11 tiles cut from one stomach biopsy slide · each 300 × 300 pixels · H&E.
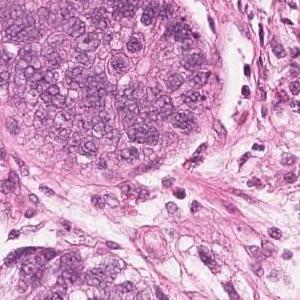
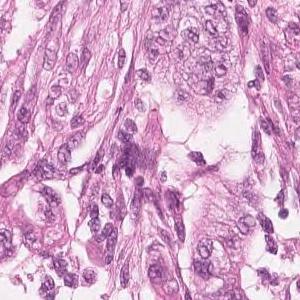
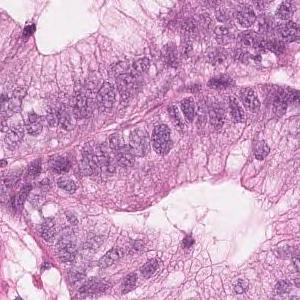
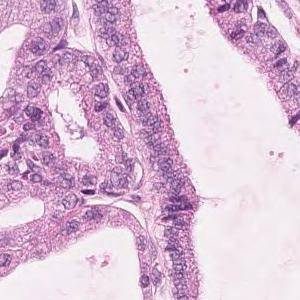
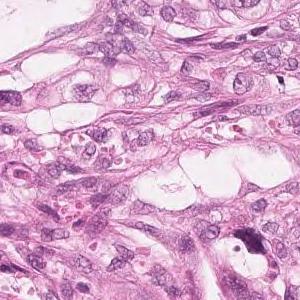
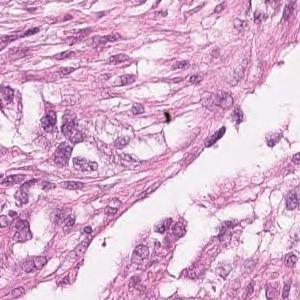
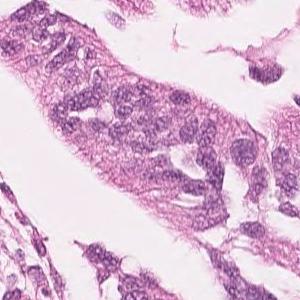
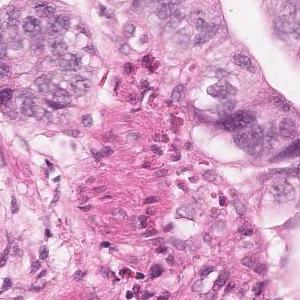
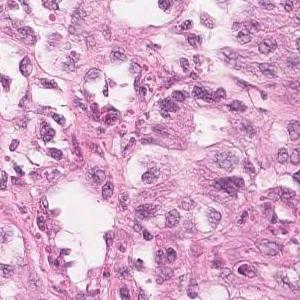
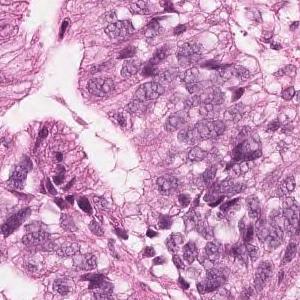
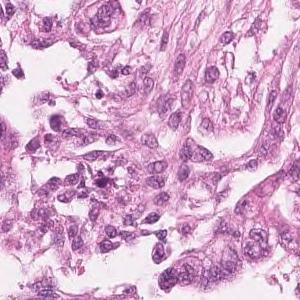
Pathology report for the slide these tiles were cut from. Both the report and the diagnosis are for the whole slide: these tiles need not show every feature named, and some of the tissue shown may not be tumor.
Highly columnar epithelium with disordered nuclear localization proliferates showing fusion ductal construction. moderately differentiated tubular adenocarcinoma
